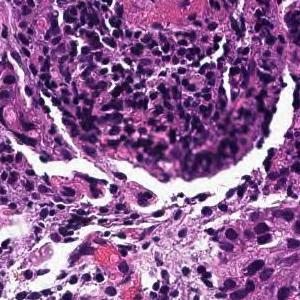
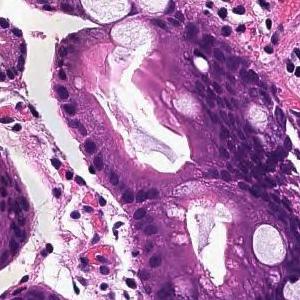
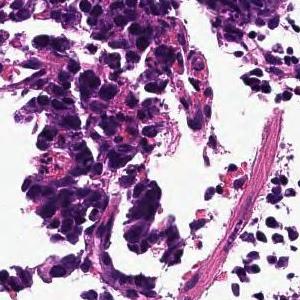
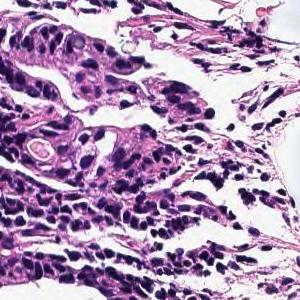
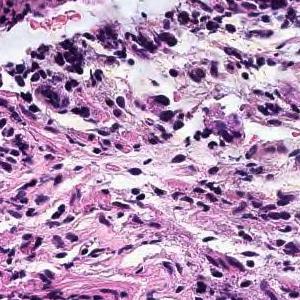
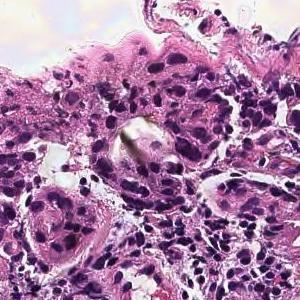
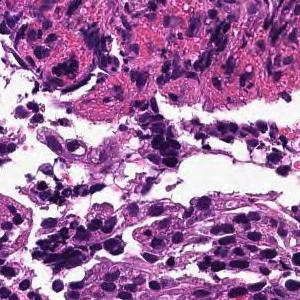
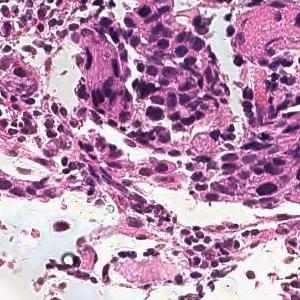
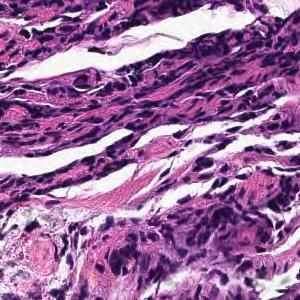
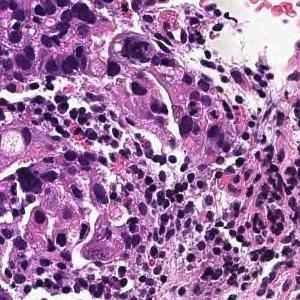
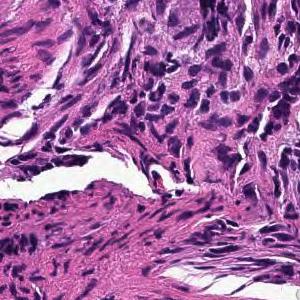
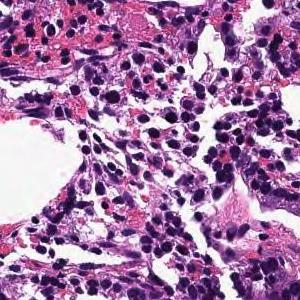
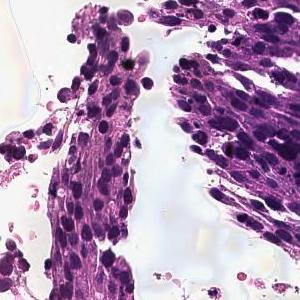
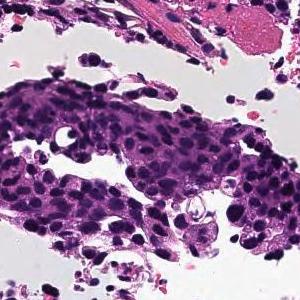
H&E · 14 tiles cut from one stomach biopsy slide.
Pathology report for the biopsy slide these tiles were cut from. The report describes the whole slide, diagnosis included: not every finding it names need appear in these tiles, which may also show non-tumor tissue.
In the superficial epithelium, tumor tissue that invades by forming medium-sized to small, irregular ducts is observed. moderately differentiated tubular adenocarcinoma.
